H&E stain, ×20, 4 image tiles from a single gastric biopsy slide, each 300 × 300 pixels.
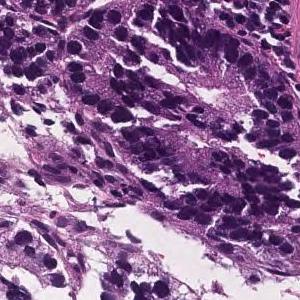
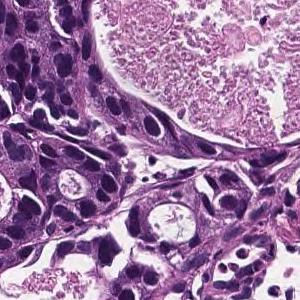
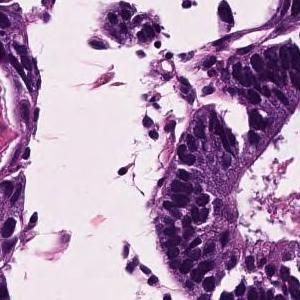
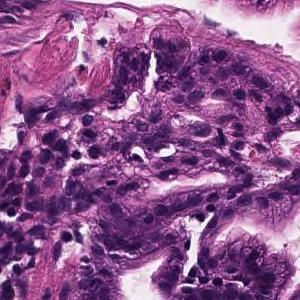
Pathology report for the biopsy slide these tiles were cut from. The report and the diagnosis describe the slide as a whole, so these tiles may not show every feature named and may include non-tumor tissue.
In the superficial epithelium, tumor tissue that invades by forming medium-sized to small, irregular ducts is observed. Well differentiated tubular adenocarcinoma.
